8 patches cut from one gastric biopsy slide · 300×300 px each · hematoxylin and eosin stain · scanned at ×20.
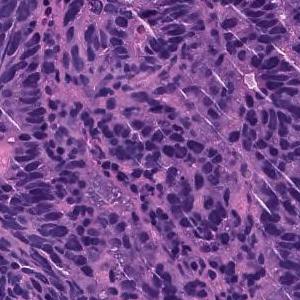
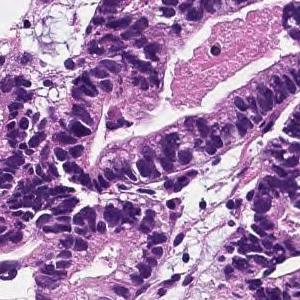
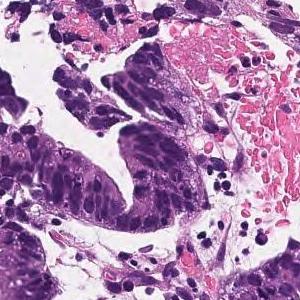
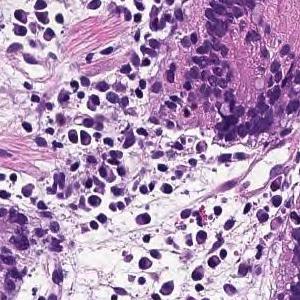
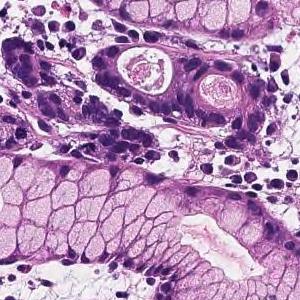
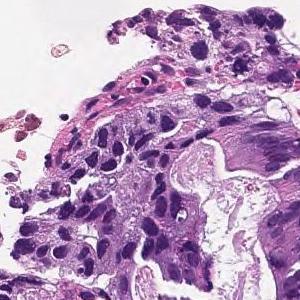
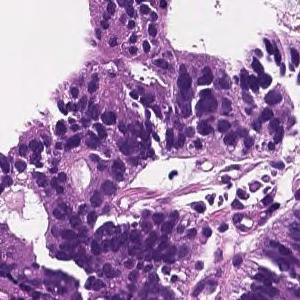
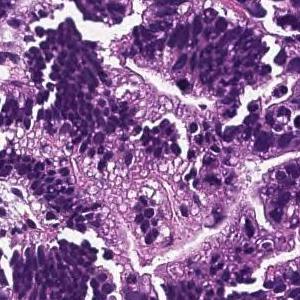
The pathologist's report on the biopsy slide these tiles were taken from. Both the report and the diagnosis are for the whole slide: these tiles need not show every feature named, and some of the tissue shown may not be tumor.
In the superficial epithelium, tumor tissue that invades by forming medium-sized to small, irregular ducts is observed. moderately differentiated tubular adenocarcinoma.
